8 patches cut from one gastric biopsy slide; 300 × 300 pixels each; hematoxylin and eosin stain; 20× magnification.
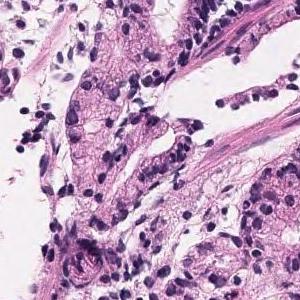
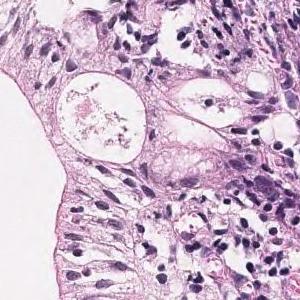
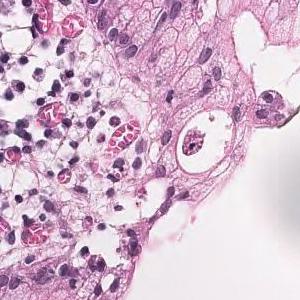
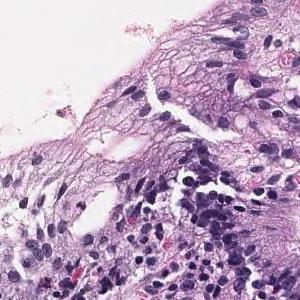
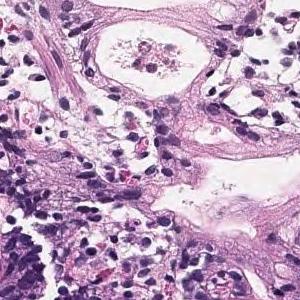
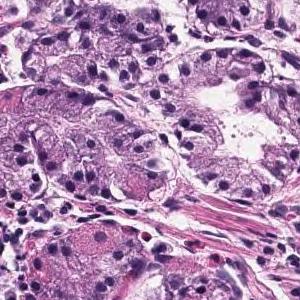
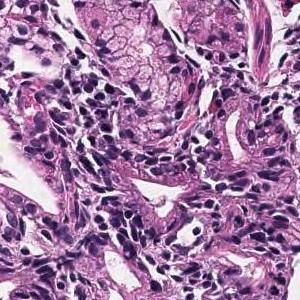
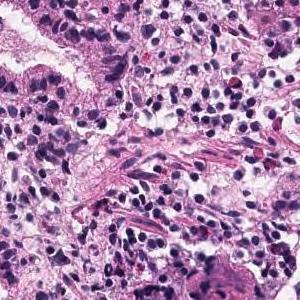
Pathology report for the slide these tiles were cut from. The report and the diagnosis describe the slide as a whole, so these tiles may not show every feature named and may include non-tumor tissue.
Tumor tissue that grows and grows is observed, showing a medium-sized round or irregular duct. moderately differentiated tubular adenocarcinoma
